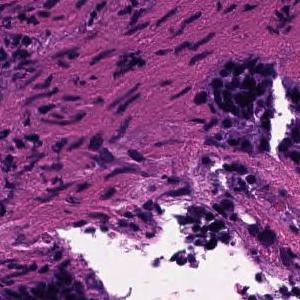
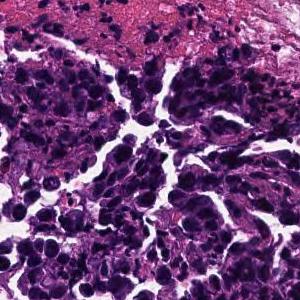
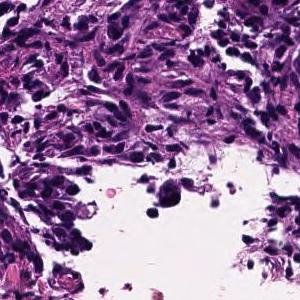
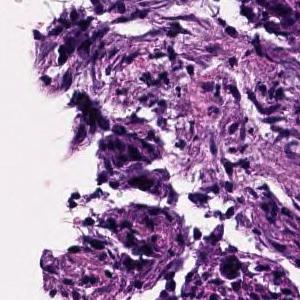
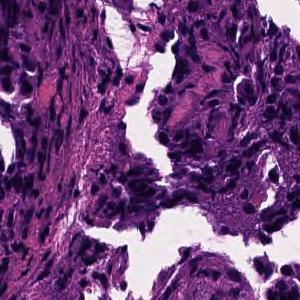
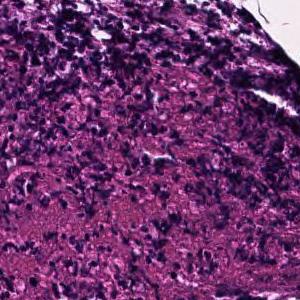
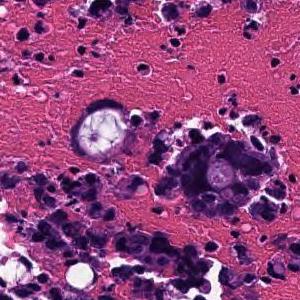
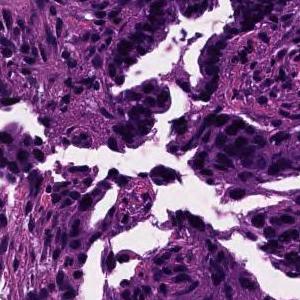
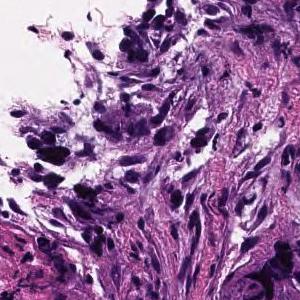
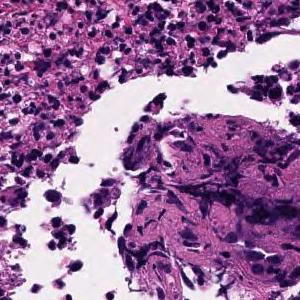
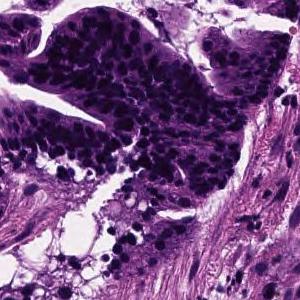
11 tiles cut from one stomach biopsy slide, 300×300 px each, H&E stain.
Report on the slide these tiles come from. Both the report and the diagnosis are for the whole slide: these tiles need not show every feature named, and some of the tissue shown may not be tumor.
In the superficial epithelium, tumor tissue that invades by forming medium-sized to small, irregular ducts is observed. moderately differentiated tubular adenocarcinoma.
